H&E stain · scanned at ×20 · 6 tiles cut from one stomach biopsy slide.
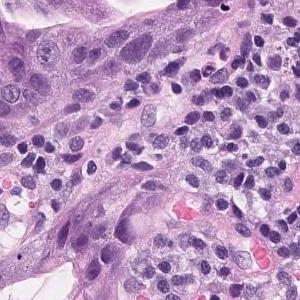
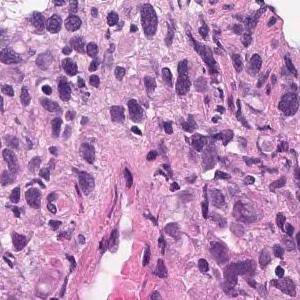
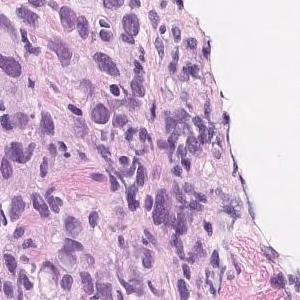
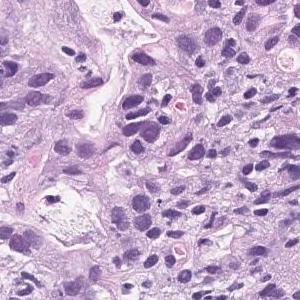
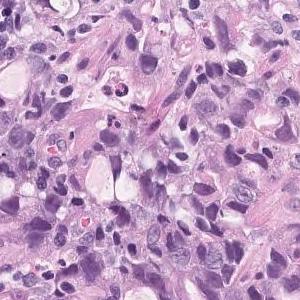
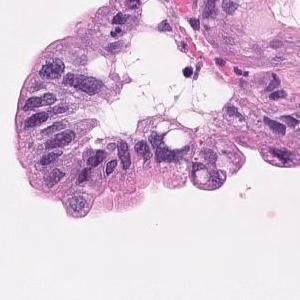
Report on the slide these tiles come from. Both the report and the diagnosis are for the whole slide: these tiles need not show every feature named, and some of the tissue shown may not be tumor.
Tumor tissue consisting of medium-sized, cord-like or irregular glandular infiltration is observed in the superficial epithelium. Poorly differentiated adenocarcinoma, non-solid type or moderately differentiated tubular adenocarcinoma
Labeled in the dataset as poorly differentiated adenocarcinoma, non-solid type.
The non-solid type named here is a Japanese Classification of Gastric Carcinoma category.
